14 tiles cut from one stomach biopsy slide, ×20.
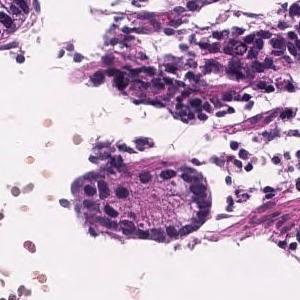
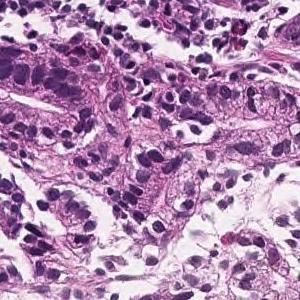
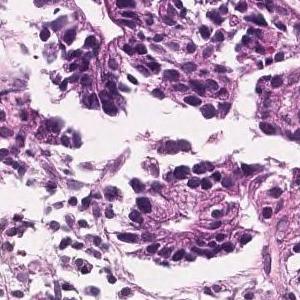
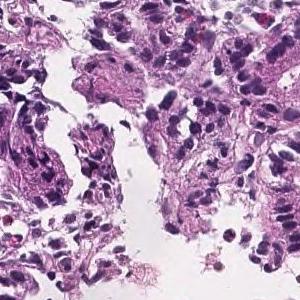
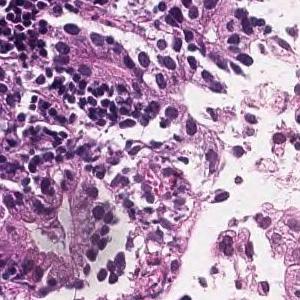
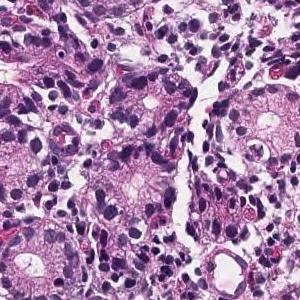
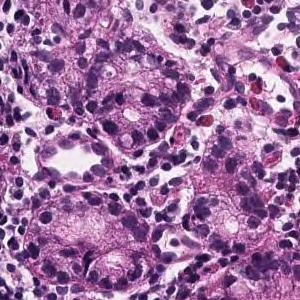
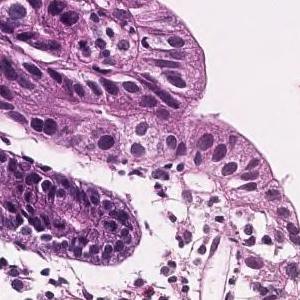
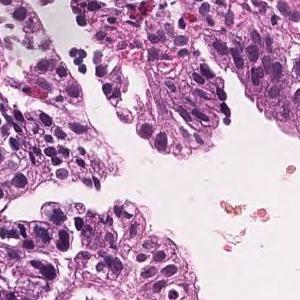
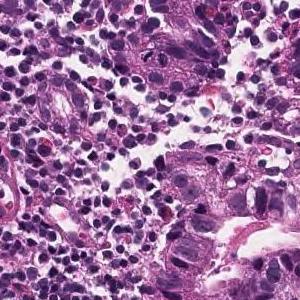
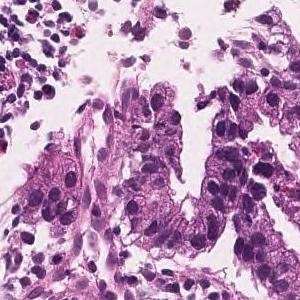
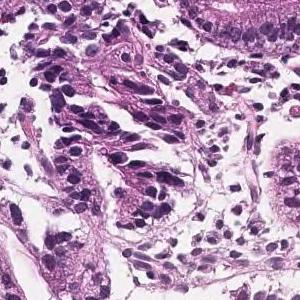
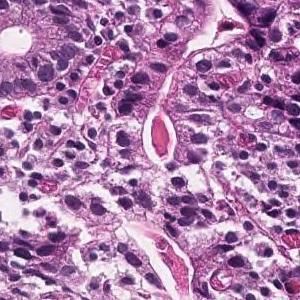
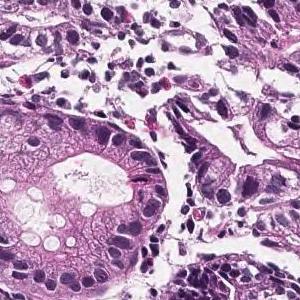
Pathology report for the biopsy slide these tiles were cut from. What the report and the diagnosis say applies to the whole slide; these tiles may miss some of the features named and may include tissue that is not tumor.
Tumor tissue that forms medium-sized, irregular glandular ducts and is papillary and proliferate is observed confined to the mucosal epithelium. moderately differentiated tubular adenocarcinoma.
